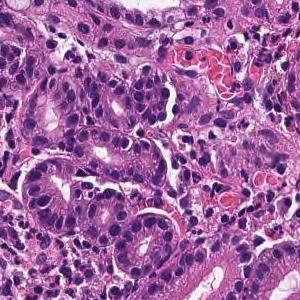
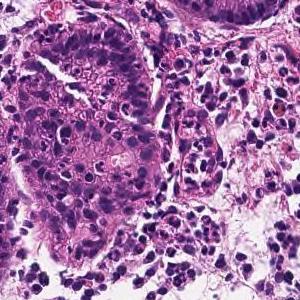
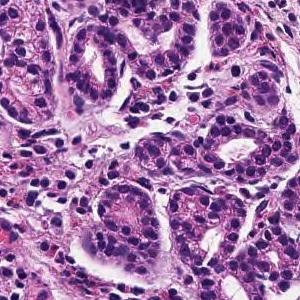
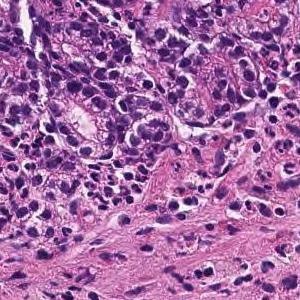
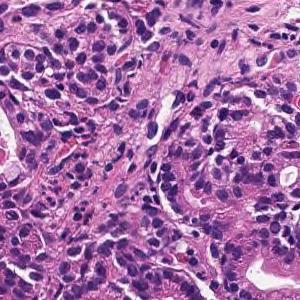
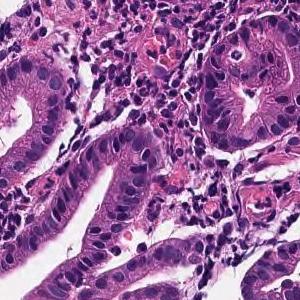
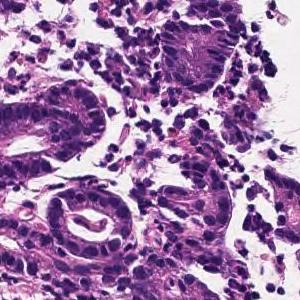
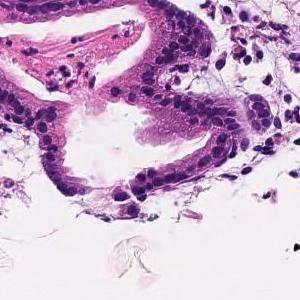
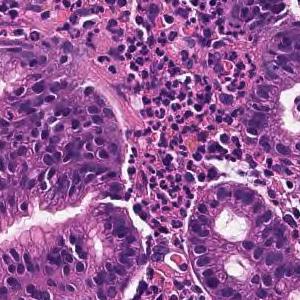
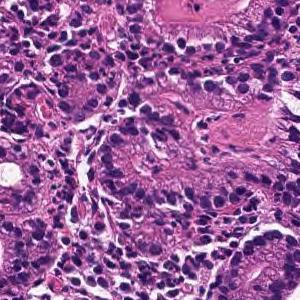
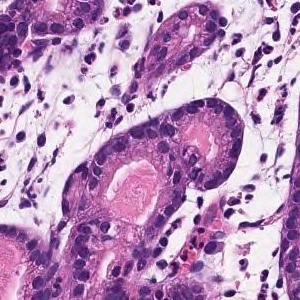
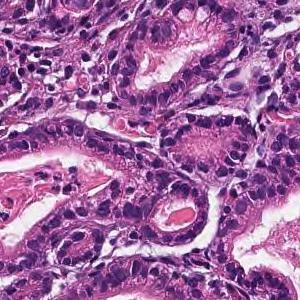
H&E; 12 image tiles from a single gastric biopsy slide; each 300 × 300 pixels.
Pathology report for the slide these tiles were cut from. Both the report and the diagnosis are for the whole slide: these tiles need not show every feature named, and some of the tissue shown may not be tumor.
Tumor tissue infiltrated and proliferated with small to medium-sized irregular tubules is observed in the superficial epithelium. Well differentiated tubular adenocarcinoma
